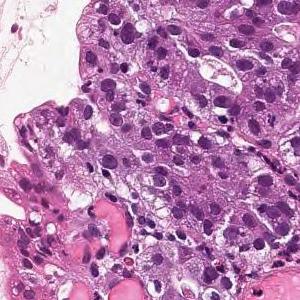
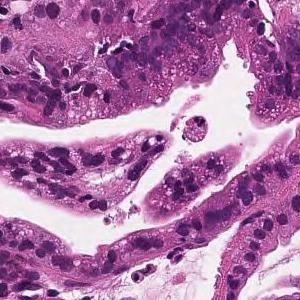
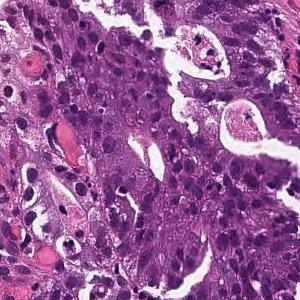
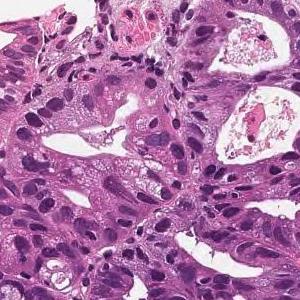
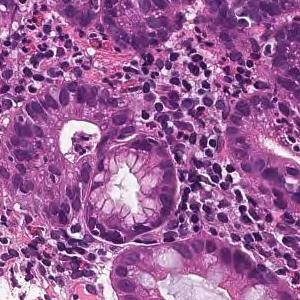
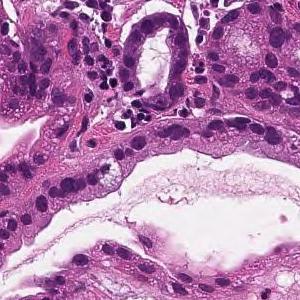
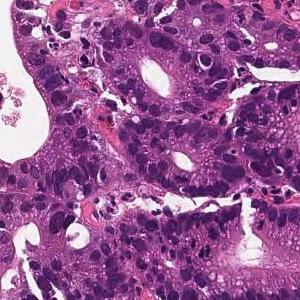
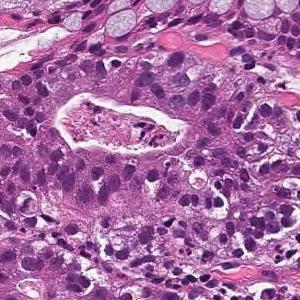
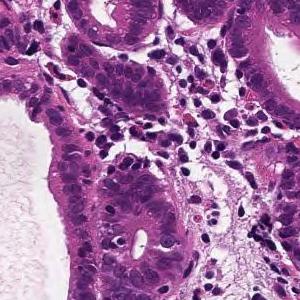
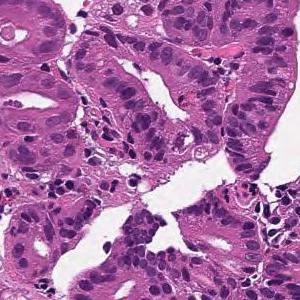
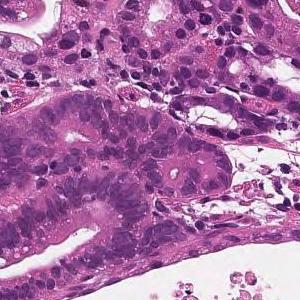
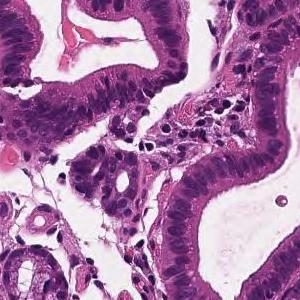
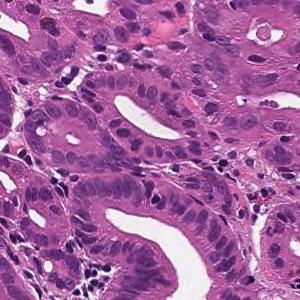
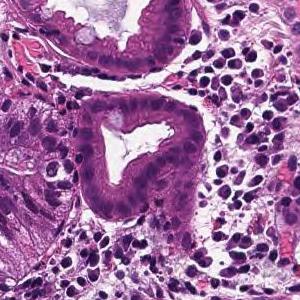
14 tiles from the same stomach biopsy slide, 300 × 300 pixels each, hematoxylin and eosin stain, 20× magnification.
Pathology report for the biopsy slide these tiles were cut from. The report and the diagnosis cover the entire slide, so not every feature they name need be visible here, and some tissue shown may not be tumor.
In the superficial epithelium, tumor tissue that invades by forming medium-sized to small, irregular ducts is observed. moderately differentiated tubular adenocarcinoma.
